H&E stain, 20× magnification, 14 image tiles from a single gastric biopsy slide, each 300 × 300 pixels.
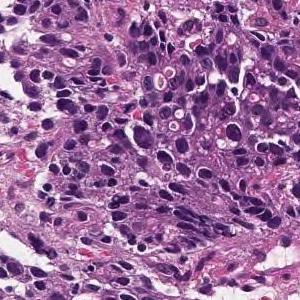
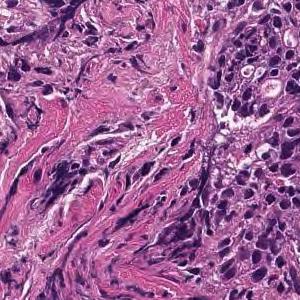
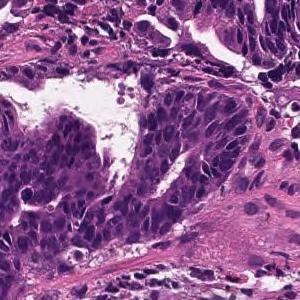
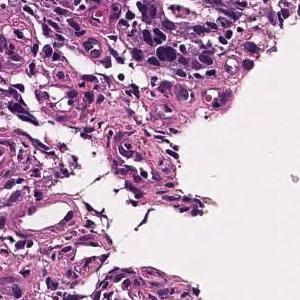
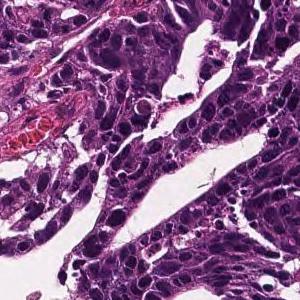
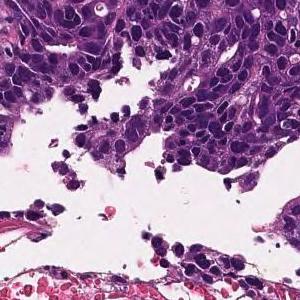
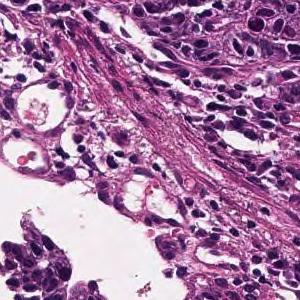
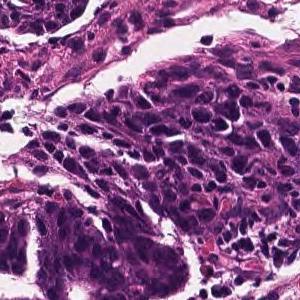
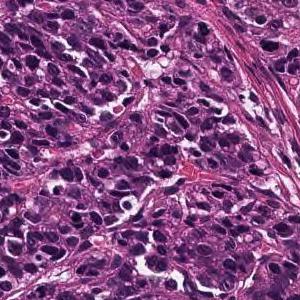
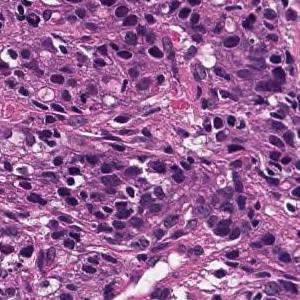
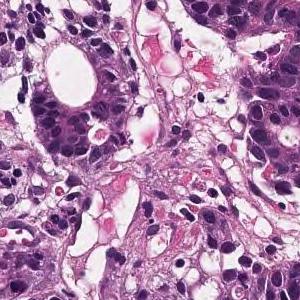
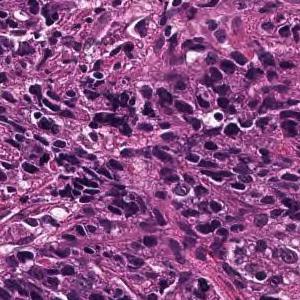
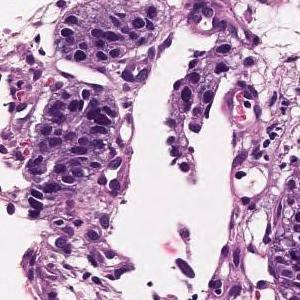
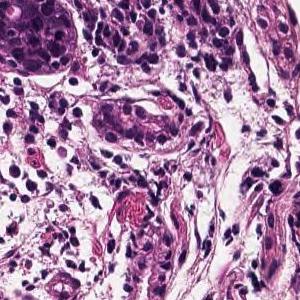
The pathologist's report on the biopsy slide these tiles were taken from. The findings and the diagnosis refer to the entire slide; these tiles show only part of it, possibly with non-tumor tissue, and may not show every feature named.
Medium to small, irregular glandular ducts are formed in the superficial epithelium, and in some cases, the glandular ducts are fused to show solid alveolar lesions and infiltrating tumor tissue is observed. Moderately to poorly differentiated adenocarcinoma.
